H&E stain, 7 image tiles from a single gastric biopsy slide, each 300 × 300 pixels.
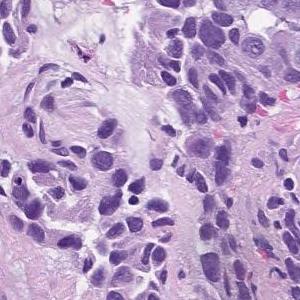
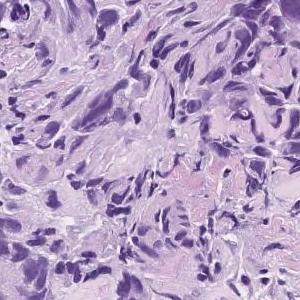
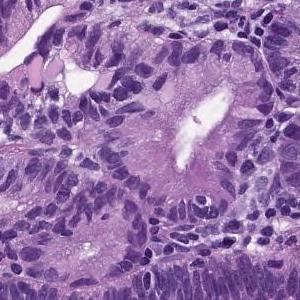
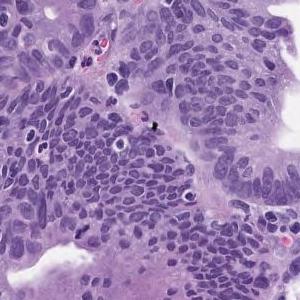
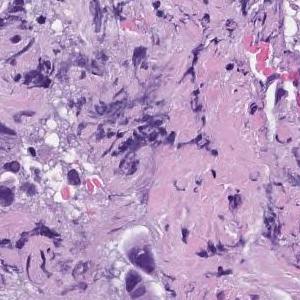
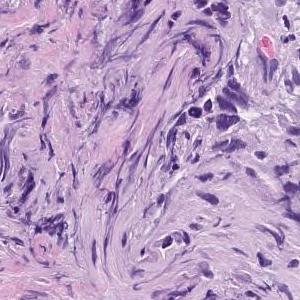
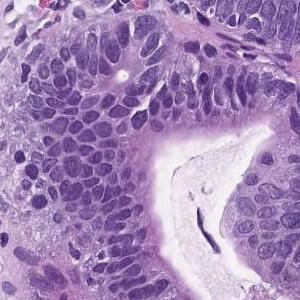
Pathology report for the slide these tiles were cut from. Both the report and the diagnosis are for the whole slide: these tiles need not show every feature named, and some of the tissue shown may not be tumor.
In the superficial epithelium, tumor tissue that invades by forming medium-sized to small, irregular ducts is observed. moderately differentiated tubular adenocarcinoma.
